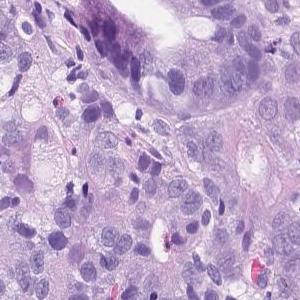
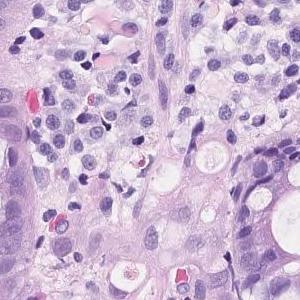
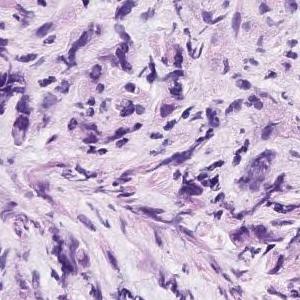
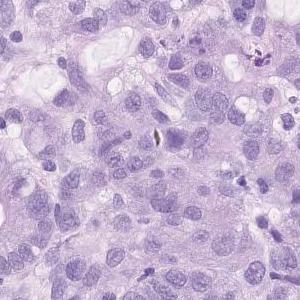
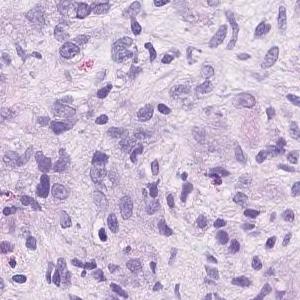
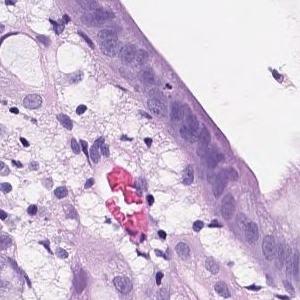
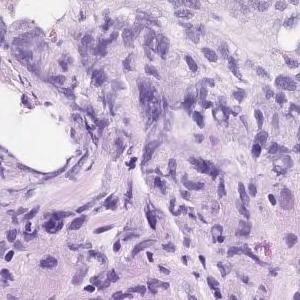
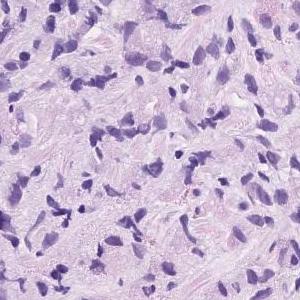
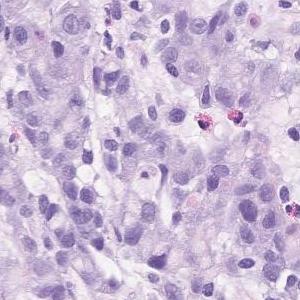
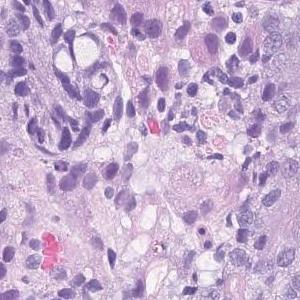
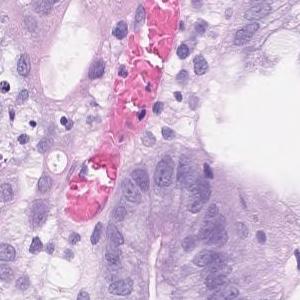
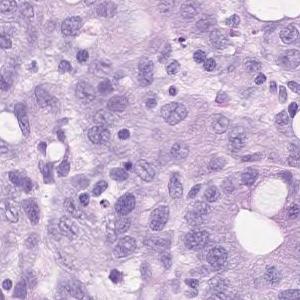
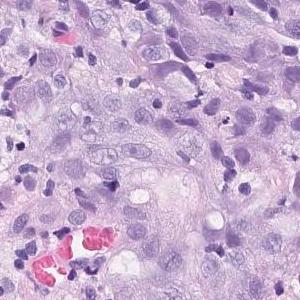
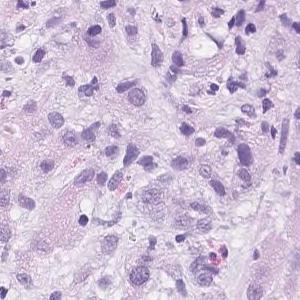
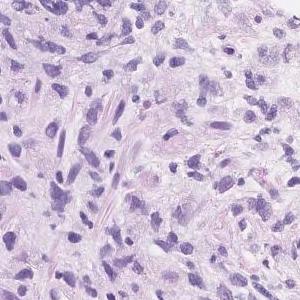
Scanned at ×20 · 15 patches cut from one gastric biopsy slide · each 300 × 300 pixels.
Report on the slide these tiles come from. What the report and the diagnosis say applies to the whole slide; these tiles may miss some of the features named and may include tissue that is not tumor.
Group 5, Adenocarcinoma. Poorly differentiated adenocarcinoma, non-solid type
"Non-solid type" is a category of the Japanese Classification of Gastric Carcinoma.
